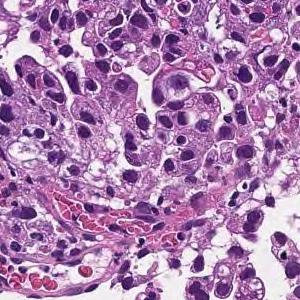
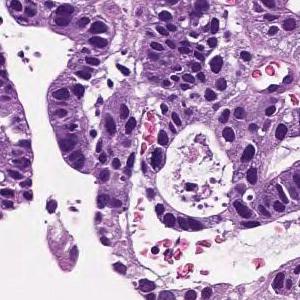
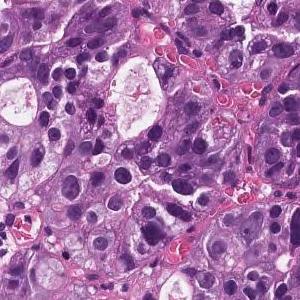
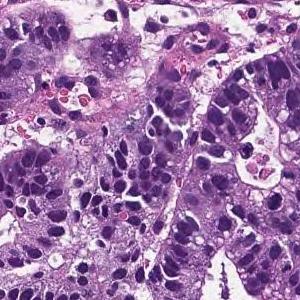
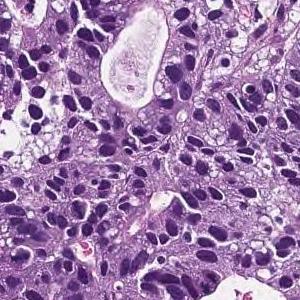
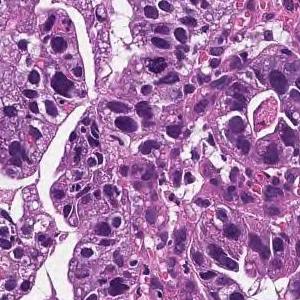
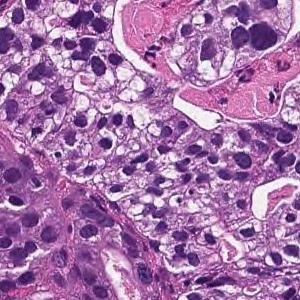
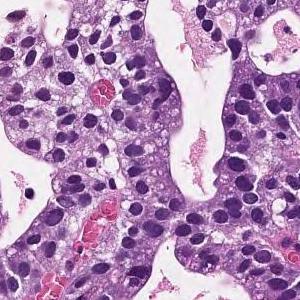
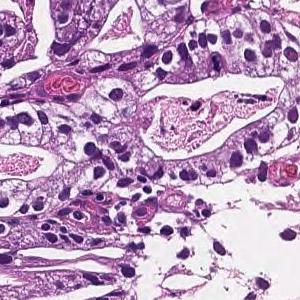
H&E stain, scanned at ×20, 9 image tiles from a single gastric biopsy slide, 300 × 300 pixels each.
Pathology report for the biopsy slide these tiles were cut from. The report describes the whole slide, diagnosis included: not every finding it names need appear in these tiles, which may also show non-tumor tissue.
On the superficial epithelium, tumor tissue consisting of large, irregular glandular ducts partially fused and infiltrated is observed. Well to moderately differentiated tubular adenocarcinoma (well differentiated tubular adenocarcinoma, moderately differentiated tubular adenocarcinoma)
Tumor subtype: well to moderately differentiated tubular adenocarcinoma.
